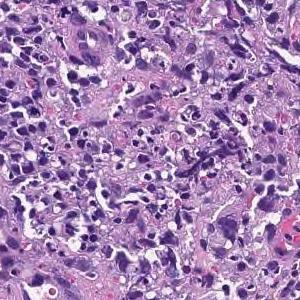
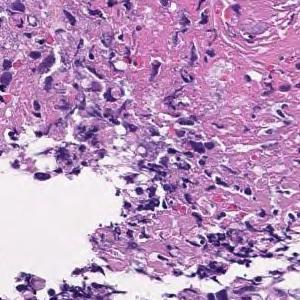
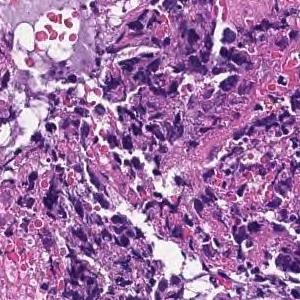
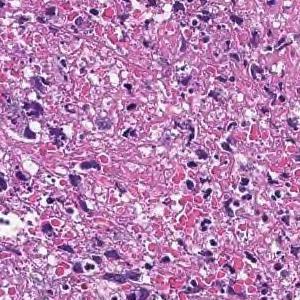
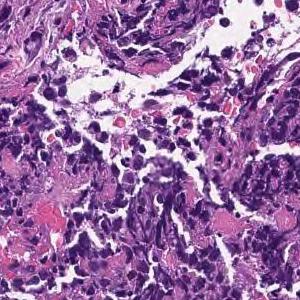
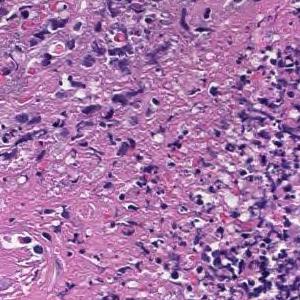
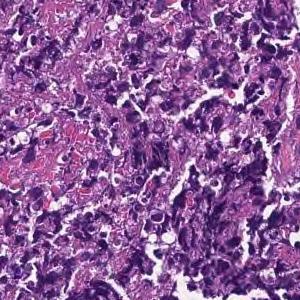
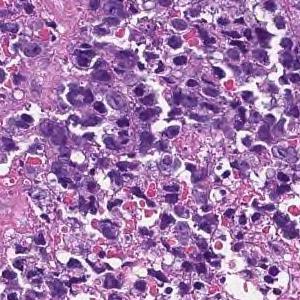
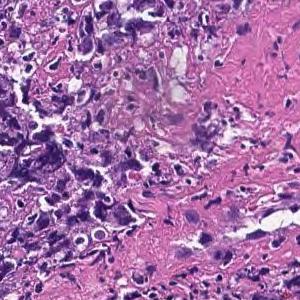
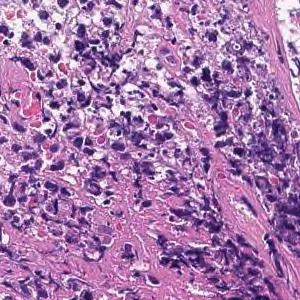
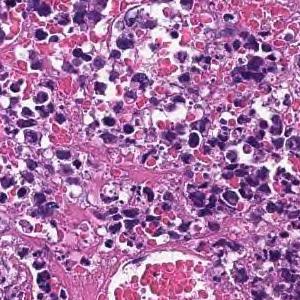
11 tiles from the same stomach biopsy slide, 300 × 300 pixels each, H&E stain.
The pathologist's report on the biopsy slide these tiles were taken from. The report describes the whole slide, diagnosis included: not every finding it names need appear in these tiles, which may also show non-tumor tissue.
Most are composed of coagulative necrotic tissue, but some show a large sheet-like shape, and some show tumor tissue infiltrating with a small cord-like structure. Poorly differentiated adenocarcinoma, solid-type
Histological subtype: Poorly differentiated adenocarcinoma, solid type, a category of the Japanese Classification of Gastric Carcinoma; in the WHO 2019 classification it is tubular adenocarcinoma, poorly differentiated.
